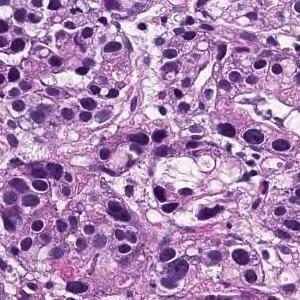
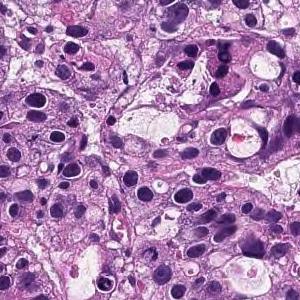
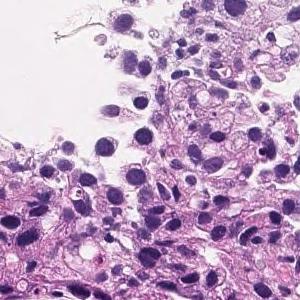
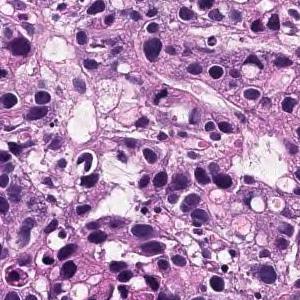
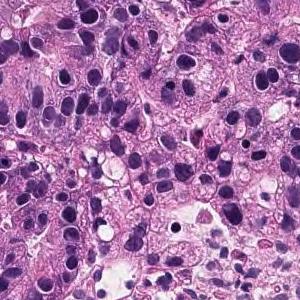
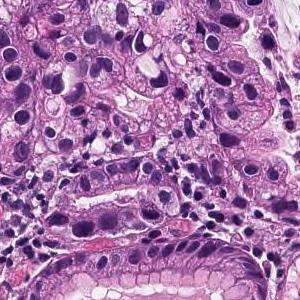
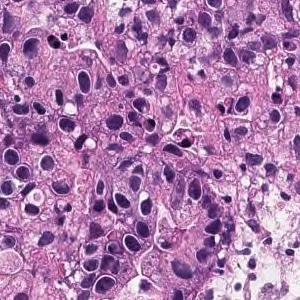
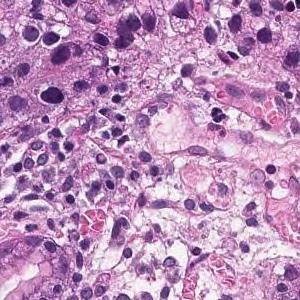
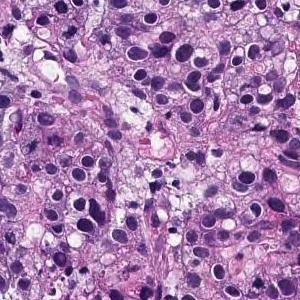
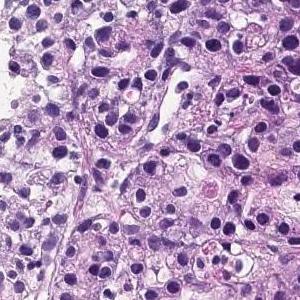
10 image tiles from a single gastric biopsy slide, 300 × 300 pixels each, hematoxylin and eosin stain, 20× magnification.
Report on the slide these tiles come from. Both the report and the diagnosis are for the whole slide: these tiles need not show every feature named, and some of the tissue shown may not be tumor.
In the superficial epithelium, tumor tissue that invades by forming medium-sized to small, irregular ducts is observed. moderately differentiated tubular adenocarcinoma.
